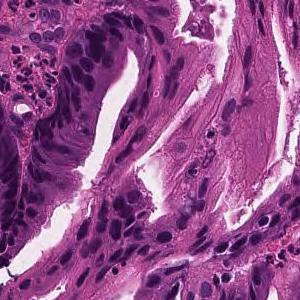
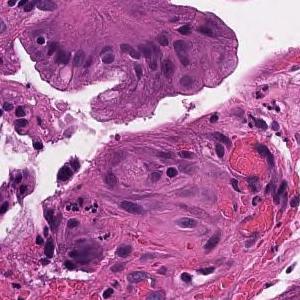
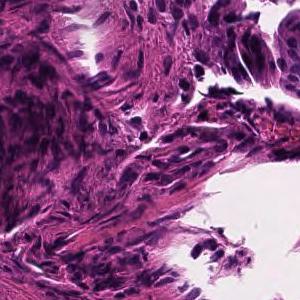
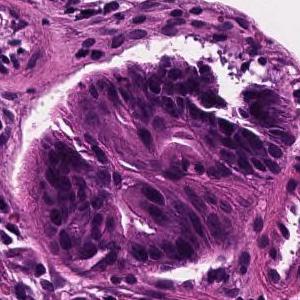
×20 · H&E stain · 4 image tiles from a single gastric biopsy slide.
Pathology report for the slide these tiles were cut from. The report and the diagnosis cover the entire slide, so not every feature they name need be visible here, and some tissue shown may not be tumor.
Tumor cells are large, highly columnar, large club-shaped nuclei, and are associated with chromatin aggregation. Papillary adenocarcinoma.
